H&E stain, scanned at ×20, 12 tiles from the same stomach biopsy slide.
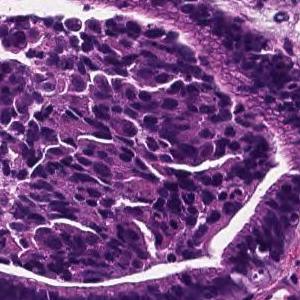
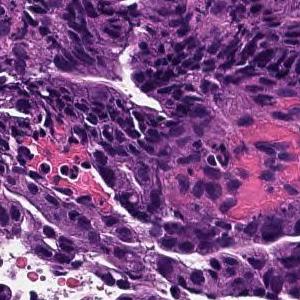
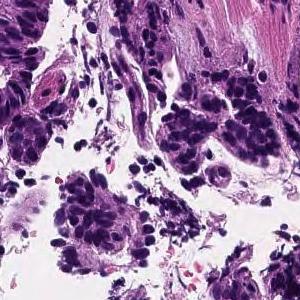
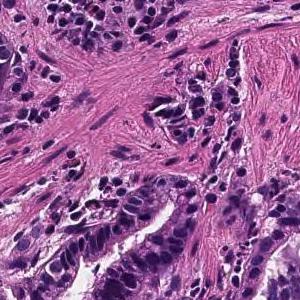
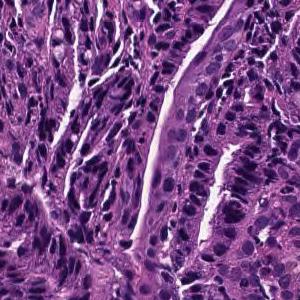
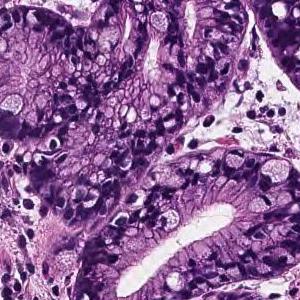
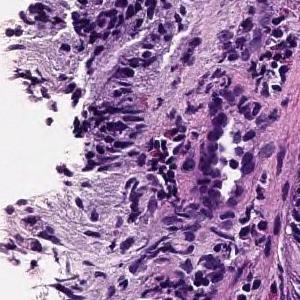
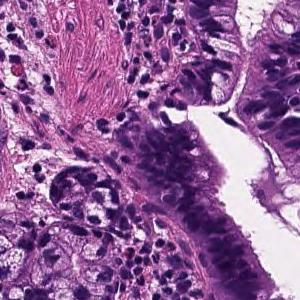
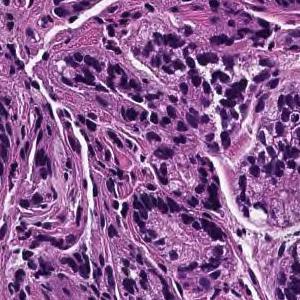
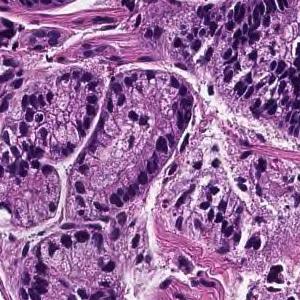
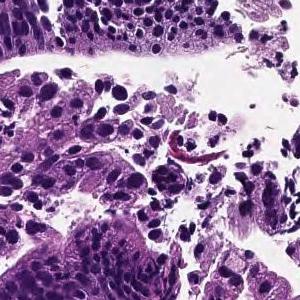
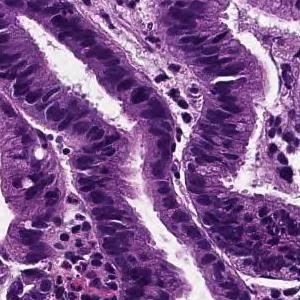
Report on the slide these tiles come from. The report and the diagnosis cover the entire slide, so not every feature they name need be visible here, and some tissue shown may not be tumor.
From the superficial epithelium to the muscularis mucosae, tumor tissue consisting of medium-sized and irregular glandular ducts infiltrating is observed. Well differentiated tubular adenocarcinoma
